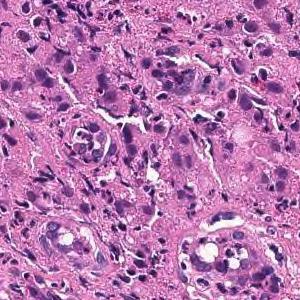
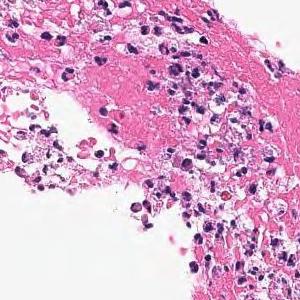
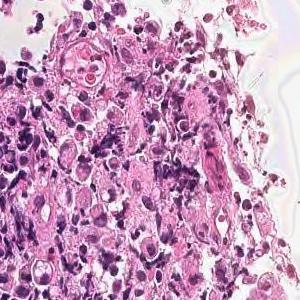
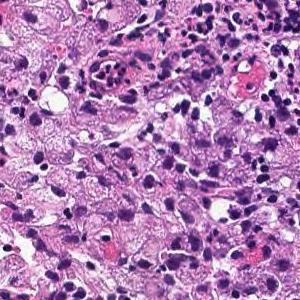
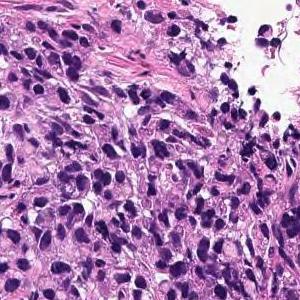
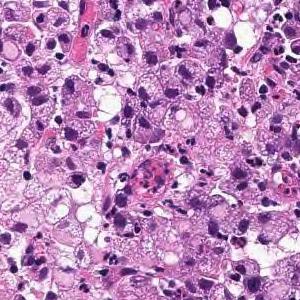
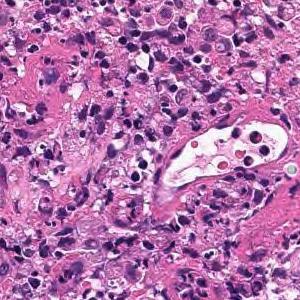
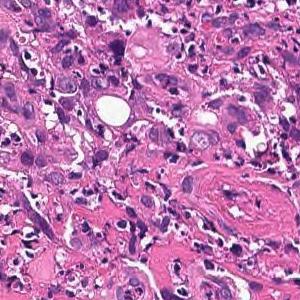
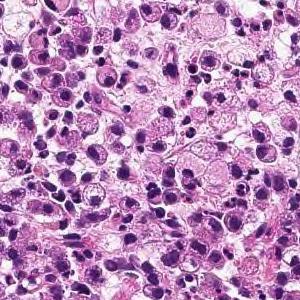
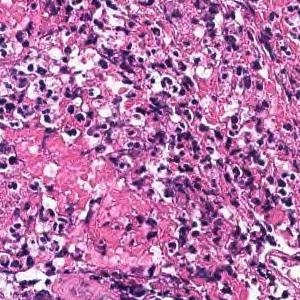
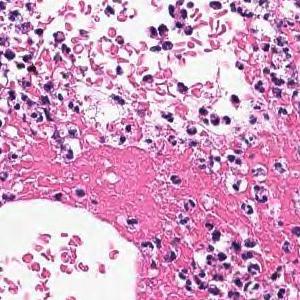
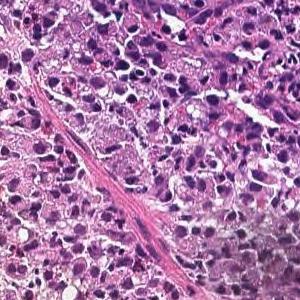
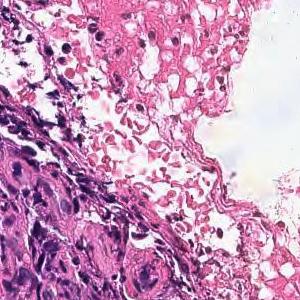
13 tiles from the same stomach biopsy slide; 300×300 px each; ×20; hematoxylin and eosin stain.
Report on the slide these tiles come from. The report describes the whole slide, diagnosis included: not every finding it names need appear in these tiles, which may also show non-tumor tissue.
Tumor tissue consisting of diffusely infiltrated large atypical epithelial cells or signet ring atypical cells is observed in the superficial epithelium. Poorly differentiated adenocarcinoma, solid-type
Classified as poorly differentiated adenocarcinoma, solid type. This name comes from the Japanese Classification of Gastric Carcinoma; the WHO 2019 classification calls it tubular adenocarcinoma, poorly differentiated.
